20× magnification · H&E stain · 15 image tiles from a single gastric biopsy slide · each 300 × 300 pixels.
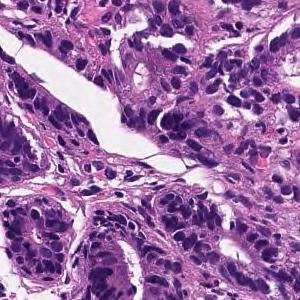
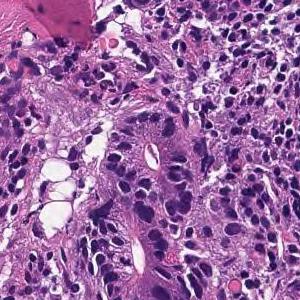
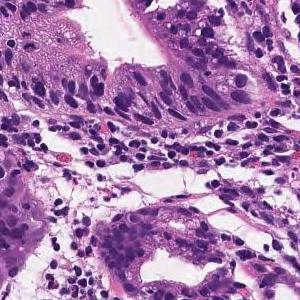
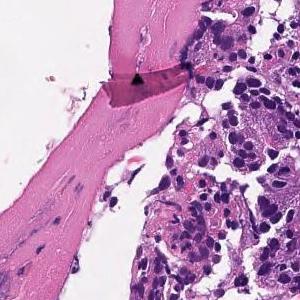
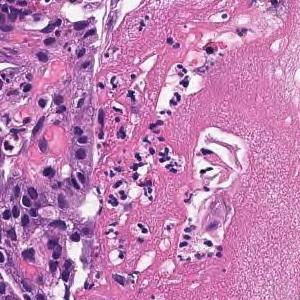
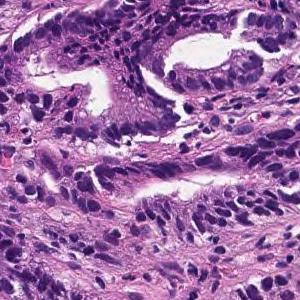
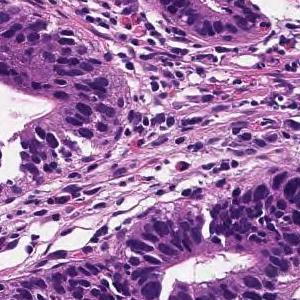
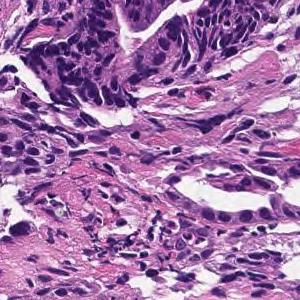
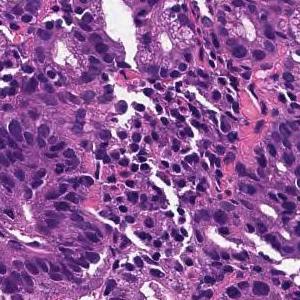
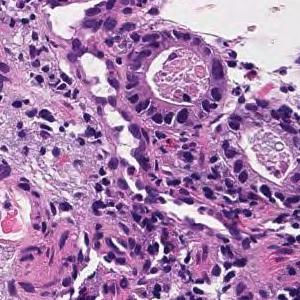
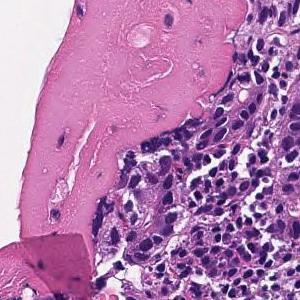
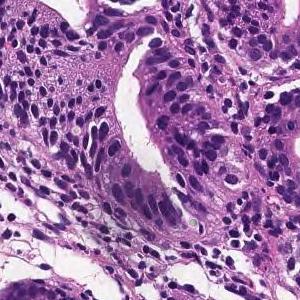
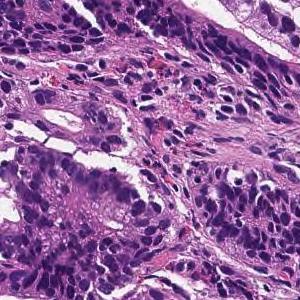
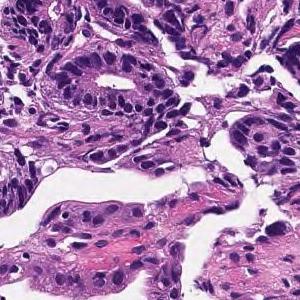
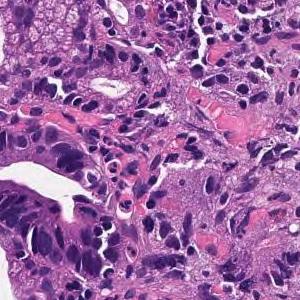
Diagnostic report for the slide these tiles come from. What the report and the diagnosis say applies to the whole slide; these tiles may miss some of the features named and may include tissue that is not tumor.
In the superficial epithelium, tumor tissue that invades by forming medium-sized to small, irregular ducts is observed. moderately differentiated tubular adenocarcinoma.
